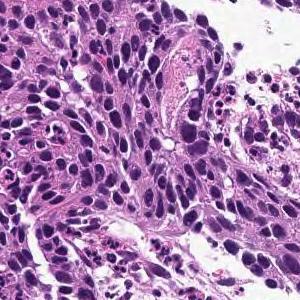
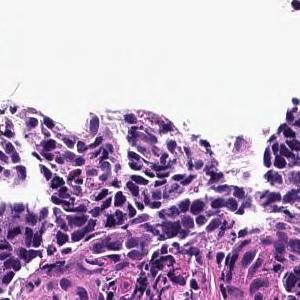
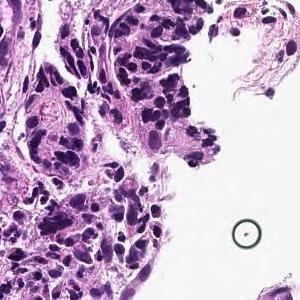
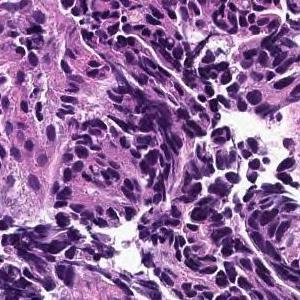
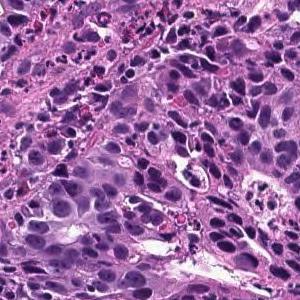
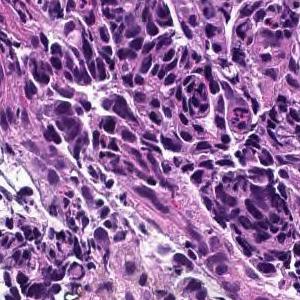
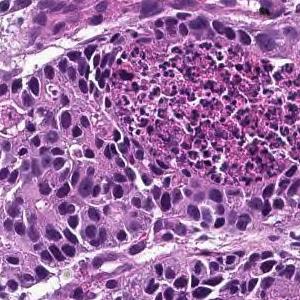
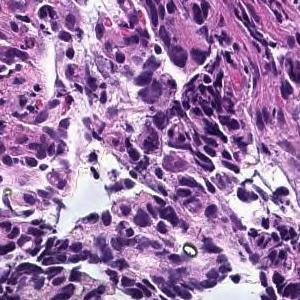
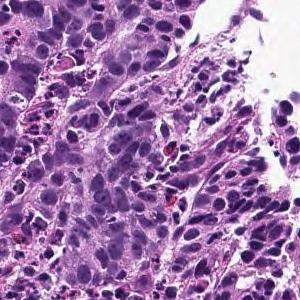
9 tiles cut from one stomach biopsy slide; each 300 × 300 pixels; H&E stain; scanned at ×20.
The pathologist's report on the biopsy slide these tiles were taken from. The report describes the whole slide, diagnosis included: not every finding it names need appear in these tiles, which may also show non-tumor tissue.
In the superficial epithelium, tumor tissue that invades by forming medium-sized to small, irregular ducts is observed. moderately differentiated tubular adenocarcinoma.
